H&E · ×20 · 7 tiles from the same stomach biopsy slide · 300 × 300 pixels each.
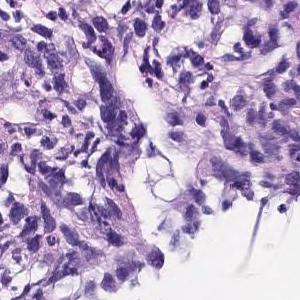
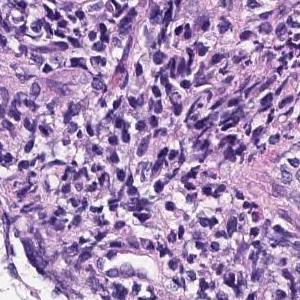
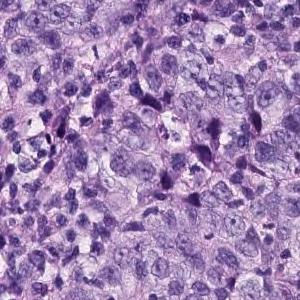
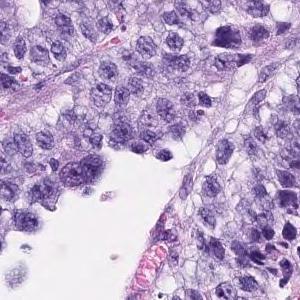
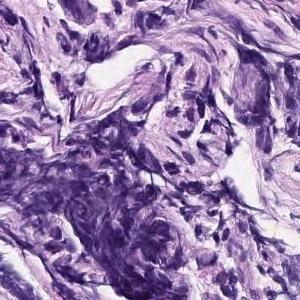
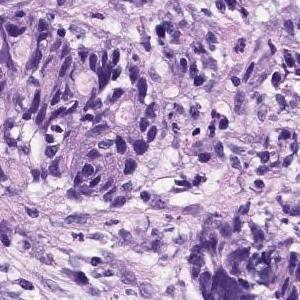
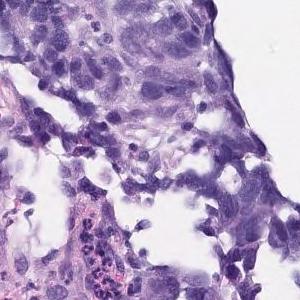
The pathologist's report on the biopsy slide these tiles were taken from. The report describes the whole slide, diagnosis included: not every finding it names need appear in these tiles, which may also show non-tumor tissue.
The superficial epithelium shows a large sheet-like shape, and some tumor tissue infiltrates with small irregular ducts. Poorly differentiated adenocarcinoma, solid-type
Histological subtype: Poorly differentiated adenocarcinoma, solid type, a category of the Japanese Classification of Gastric Carcinoma; in the WHO 2019 classification it is tubular adenocarcinoma, poorly differentiated.
